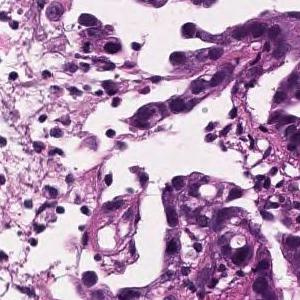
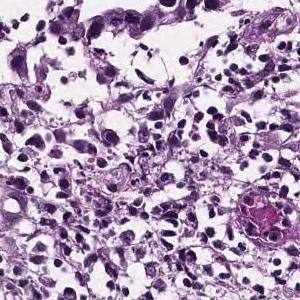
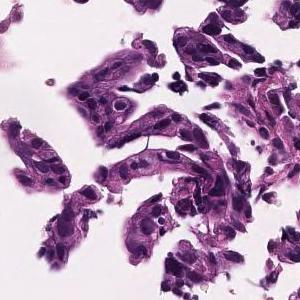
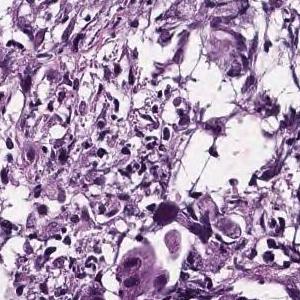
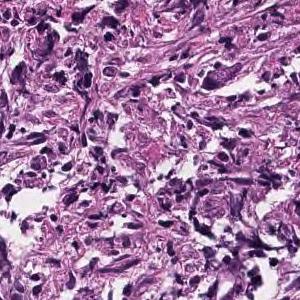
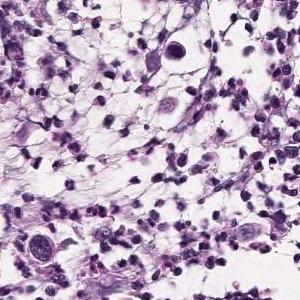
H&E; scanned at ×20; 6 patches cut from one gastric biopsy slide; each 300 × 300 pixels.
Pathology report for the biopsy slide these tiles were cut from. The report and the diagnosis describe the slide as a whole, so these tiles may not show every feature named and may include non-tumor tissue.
In the superficial epithelium, tumor tissue that invades by forming medium-sized to small, irregular ducts is observed. moderately differentiated tubular adenocarcinoma.
